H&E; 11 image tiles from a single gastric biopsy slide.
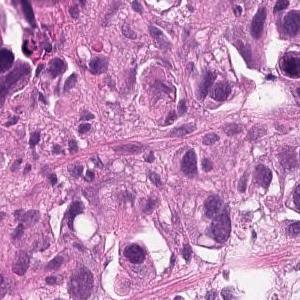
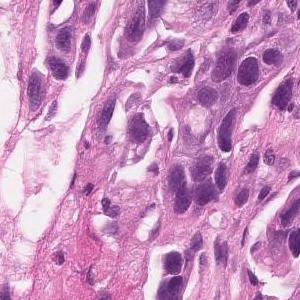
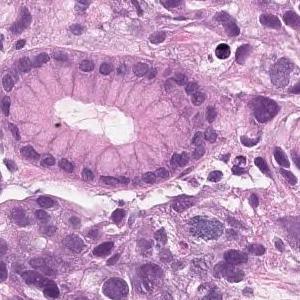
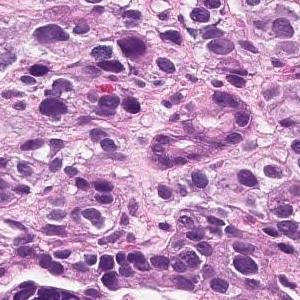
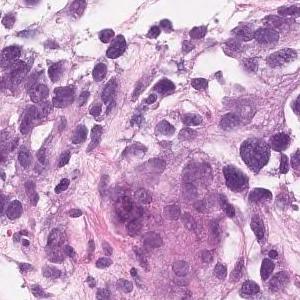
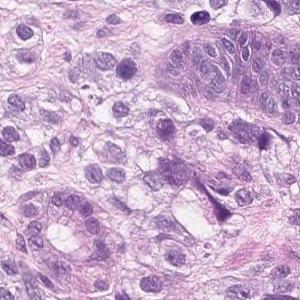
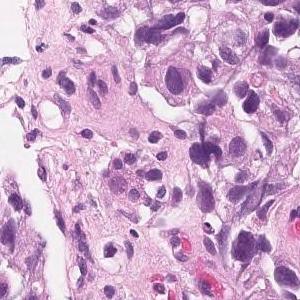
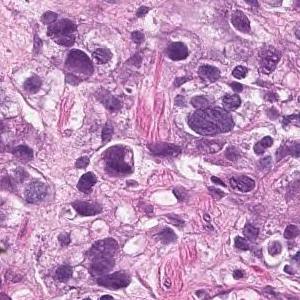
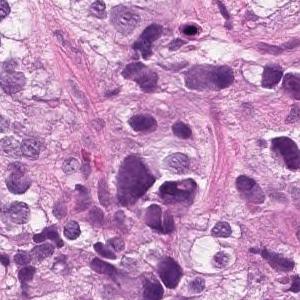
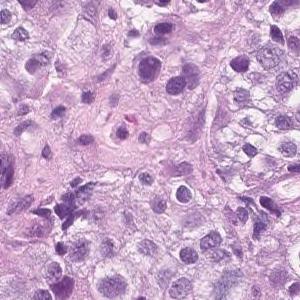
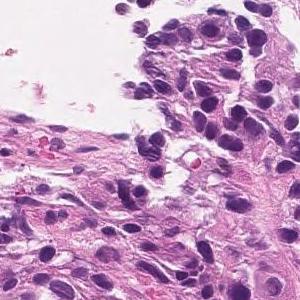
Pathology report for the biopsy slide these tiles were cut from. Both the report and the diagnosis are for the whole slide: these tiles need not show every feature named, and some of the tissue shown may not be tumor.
Tumor tissue that infiltrates the epithelium in an alveolar manner. Poorly differentiated adenocarcinoma, solid-type
Classified as poorly differentiated adenocarcinoma, solid type (Japanese Classification of Gastric Carcinoma). The WHO 2019 equivalent is tubular adenocarcinoma, poorly differentiated.
